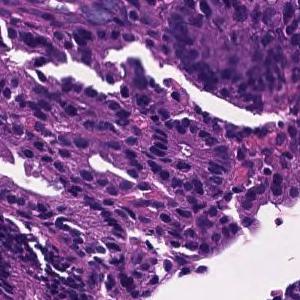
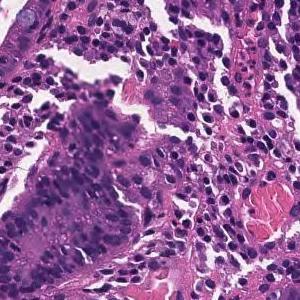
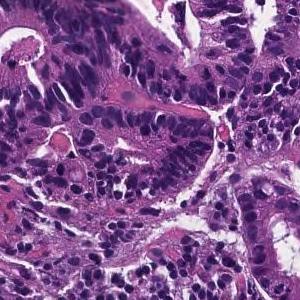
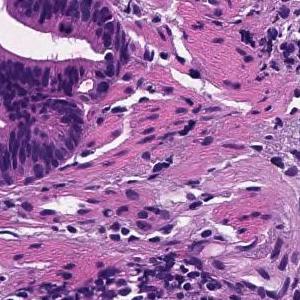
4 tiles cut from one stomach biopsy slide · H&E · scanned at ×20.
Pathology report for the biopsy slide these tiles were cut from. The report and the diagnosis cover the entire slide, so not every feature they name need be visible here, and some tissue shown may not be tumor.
From the superficial epithelium to the muscularis mucosae, tumor tissue consisting of medium-sized and irregular glandular ducts infiltrating is observed. Well differentiated tubular adenocarcinoma
